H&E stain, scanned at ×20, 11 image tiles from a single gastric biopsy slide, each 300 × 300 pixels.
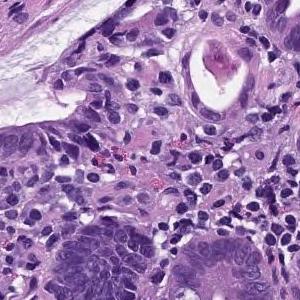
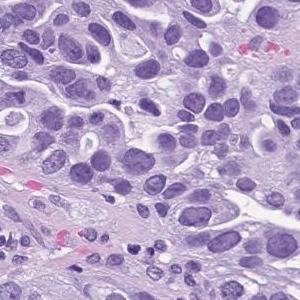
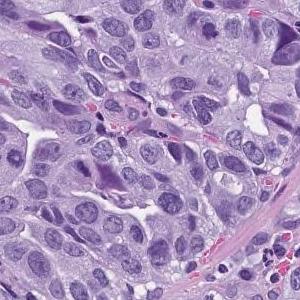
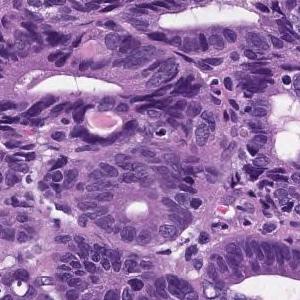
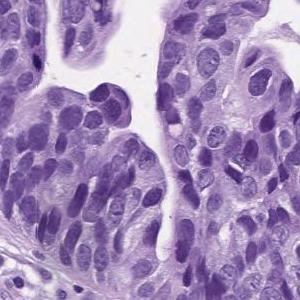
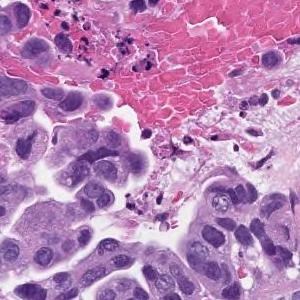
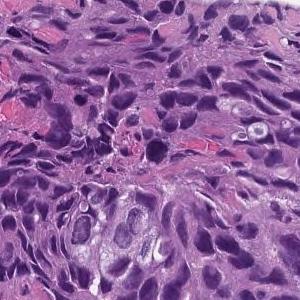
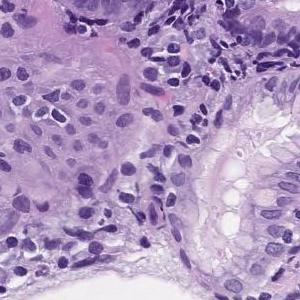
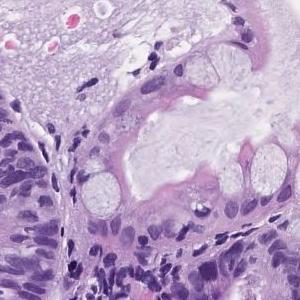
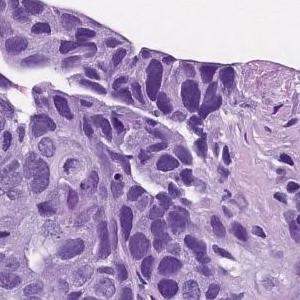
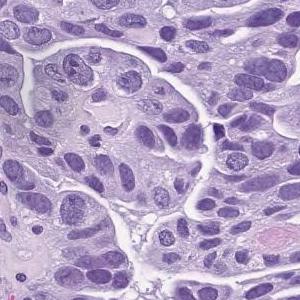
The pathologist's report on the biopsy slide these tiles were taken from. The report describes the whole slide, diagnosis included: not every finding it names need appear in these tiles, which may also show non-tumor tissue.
In the superficial epithelium, tumor tissue that invades by forming medium-sized to small, irregular ducts is observed. moderately differentiated tubular adenocarcinoma.
